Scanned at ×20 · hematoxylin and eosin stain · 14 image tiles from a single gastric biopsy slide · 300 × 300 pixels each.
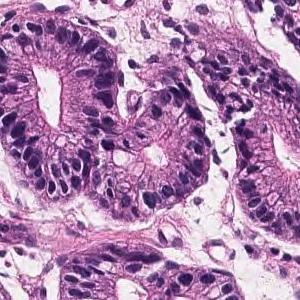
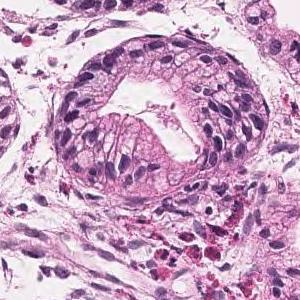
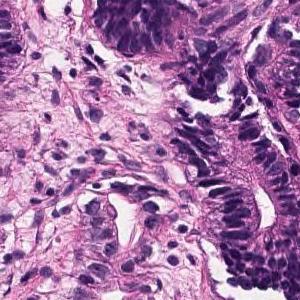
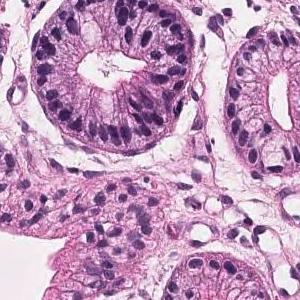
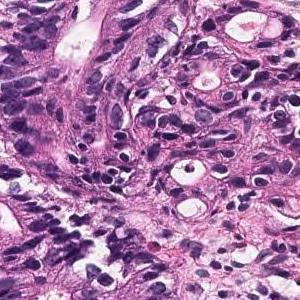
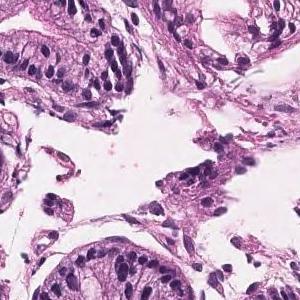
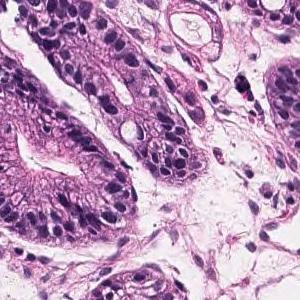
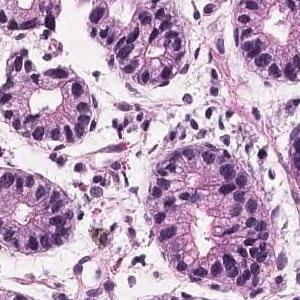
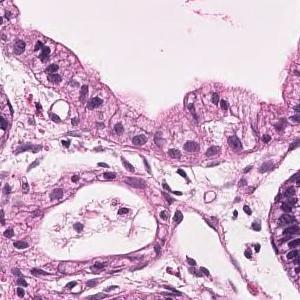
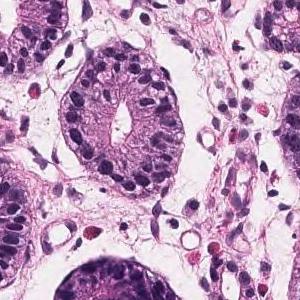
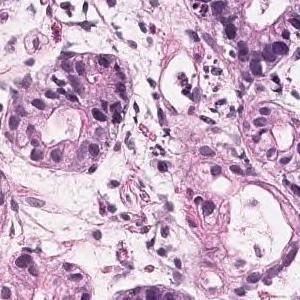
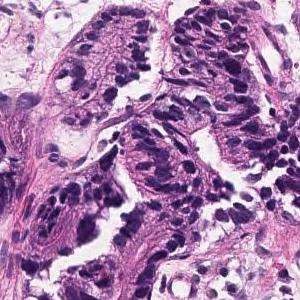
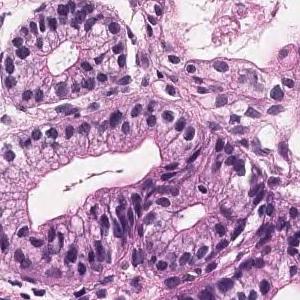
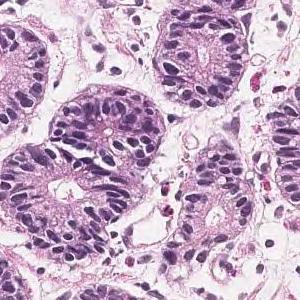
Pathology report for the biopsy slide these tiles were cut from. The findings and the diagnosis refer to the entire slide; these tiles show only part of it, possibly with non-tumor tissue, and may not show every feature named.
Tumor tissue in which medium to small irregular ducts infiltrate and proliferate in the submucosa can be seen in the epithelium. Well differentiated tubular adenocarcinoma
